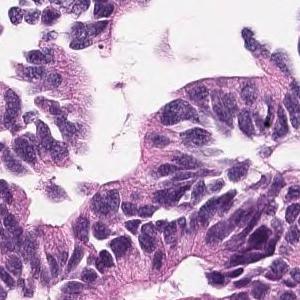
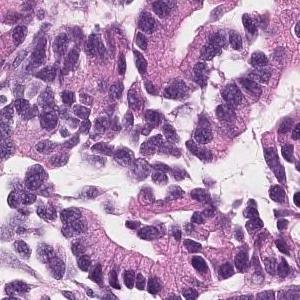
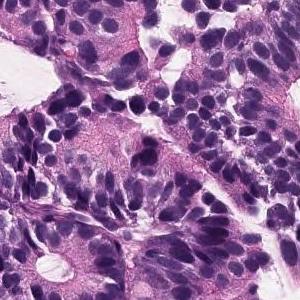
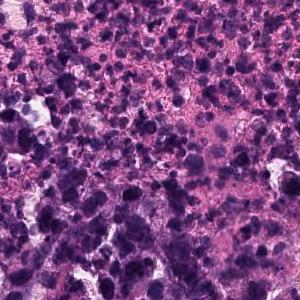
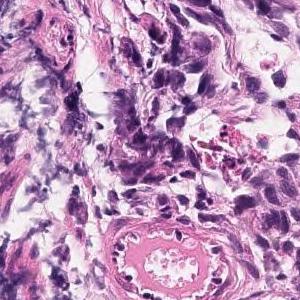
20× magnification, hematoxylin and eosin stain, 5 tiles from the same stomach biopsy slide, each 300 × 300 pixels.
Report on the slide these tiles come from. What the report and the diagnosis say applies to the whole slide; these tiles may miss some of the features named and may include tissue that is not tumor.
In the superficial epithelium, tumor tissue that invades by forming medium-sized to small, irregular ducts is observed. moderately differentiated tubular adenocarcinoma.
